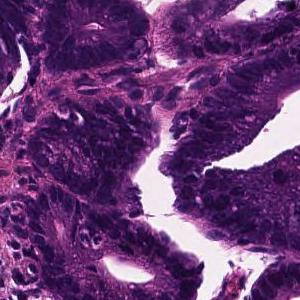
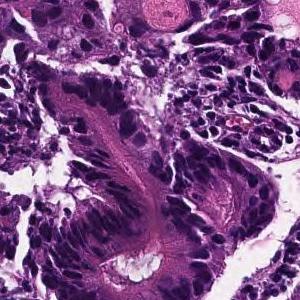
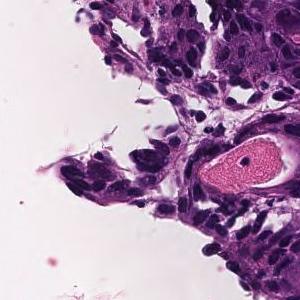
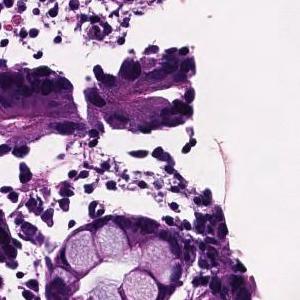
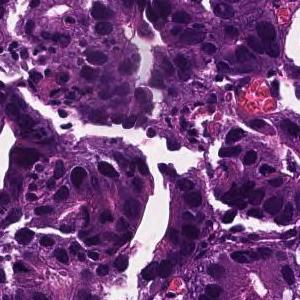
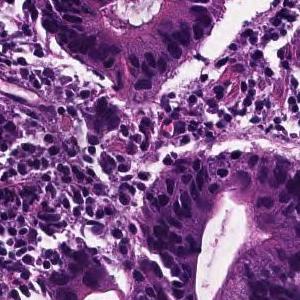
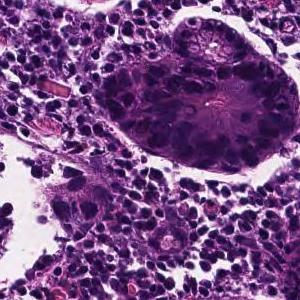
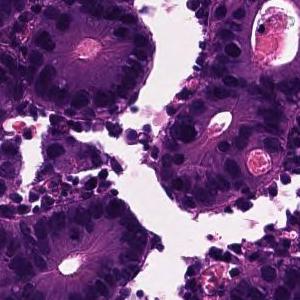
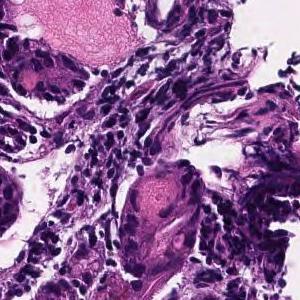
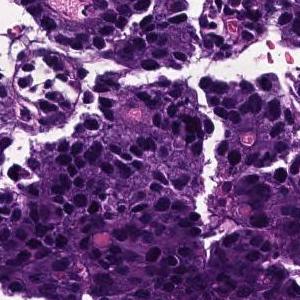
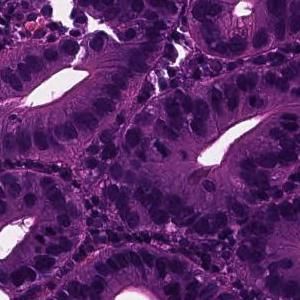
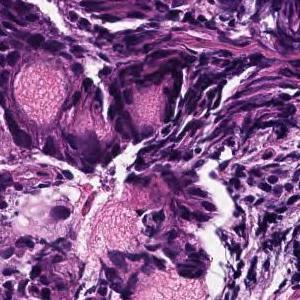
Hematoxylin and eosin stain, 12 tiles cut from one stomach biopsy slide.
Pathology report for the biopsy slide these tiles were cut from. The findings and the diagnosis refer to the entire slide; these tiles show only part of it, possibly with non-tumor tissue, and may not show every feature named.
From the superficial epithelium to the muscularis mucosae, tumor tissue infiltrating by forming medium-sized irregular gland ducts is observed. Large tumor cells exhibit large nucleus and hyperchromatism. Well differentiated tubular adenocarcinoma
